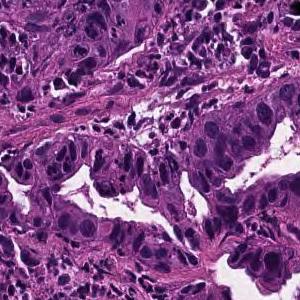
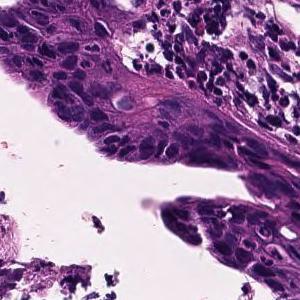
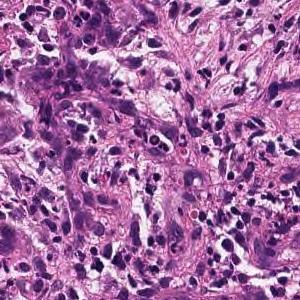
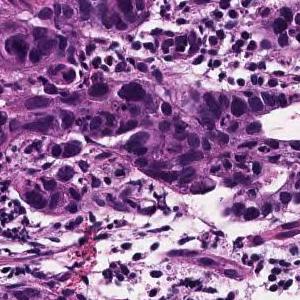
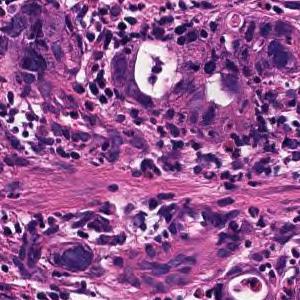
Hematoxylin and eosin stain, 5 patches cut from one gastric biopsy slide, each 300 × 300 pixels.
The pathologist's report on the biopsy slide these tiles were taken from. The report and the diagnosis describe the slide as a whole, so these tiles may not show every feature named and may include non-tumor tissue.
In the superficial epithelium, medium-sized to small irregular glandular ducts are formed, and in some cases, the glandular ducts are fused or small cord-like infiltrating tumor tissue is observed. moderately differentiated tubular adenocarcinoma
